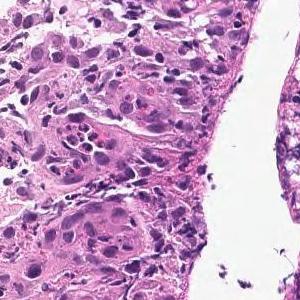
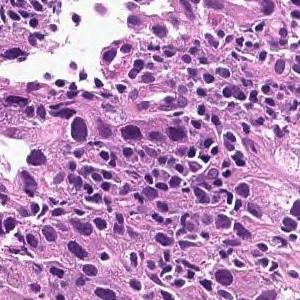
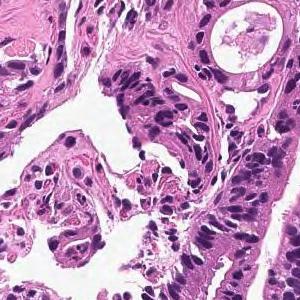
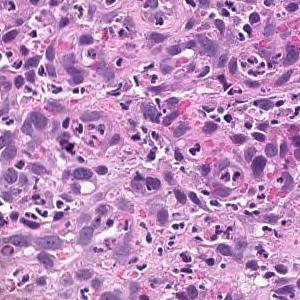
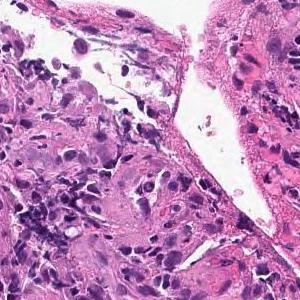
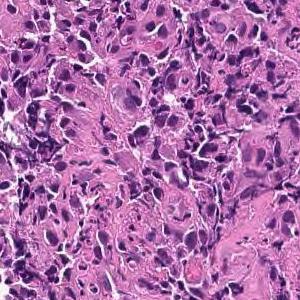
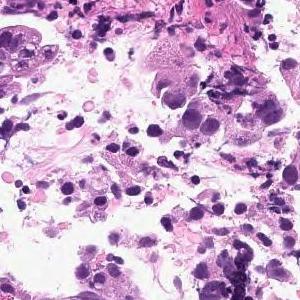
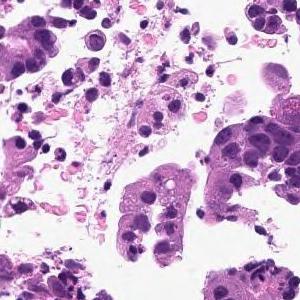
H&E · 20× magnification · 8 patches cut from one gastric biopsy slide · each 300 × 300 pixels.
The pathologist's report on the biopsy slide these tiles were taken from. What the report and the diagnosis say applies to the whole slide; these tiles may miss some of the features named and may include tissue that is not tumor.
On the superficial epithelium, tumor tissue consisting of large irregular glandular ducts partially fused and infiltrated is observed. Well to moderately differentiated tubular adenocarcinoma (well differentiated tubular adenocarcinoma, moderately differentiated tubular adenocarcinoma)
Histological subtype: Well to moderately differentiated tubular adenocarcinoma.
